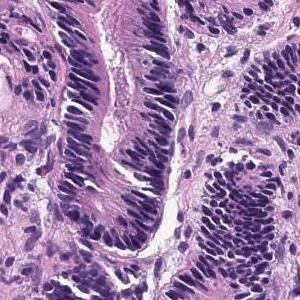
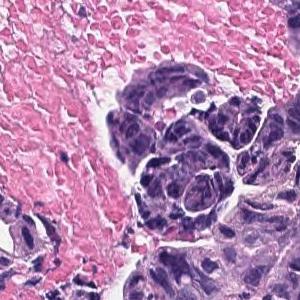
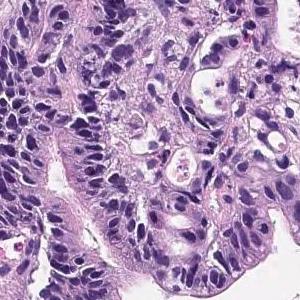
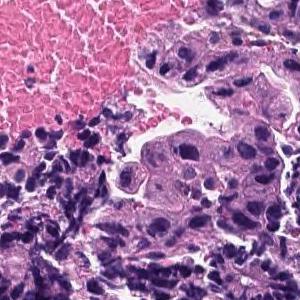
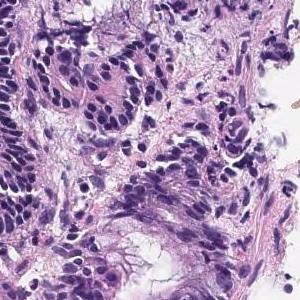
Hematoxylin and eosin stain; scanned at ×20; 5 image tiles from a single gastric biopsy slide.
Diagnostic report for the slide these tiles come from. The report and the diagnosis describe the slide as a whole, so these tiles may not show every feature named and may include non-tumor tissue.
In the superficial epithelium, tumor tissue that invades by forming medium-sized to small, irregular ducts is observed. Moderately differentiated adenocarcinoma.
Histological subtype: Moderately differentiated tubular adenocarcinoma.
